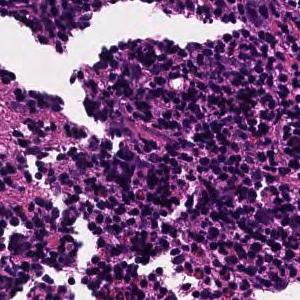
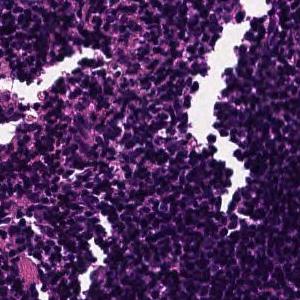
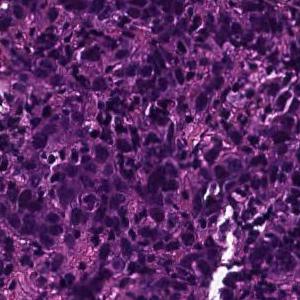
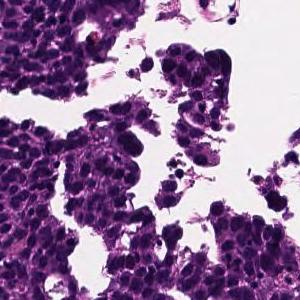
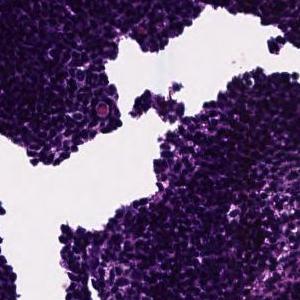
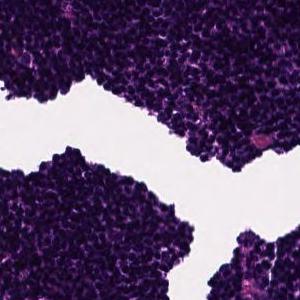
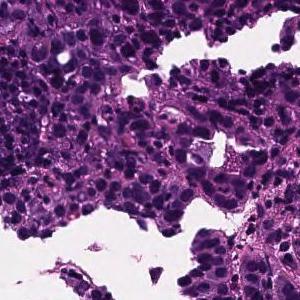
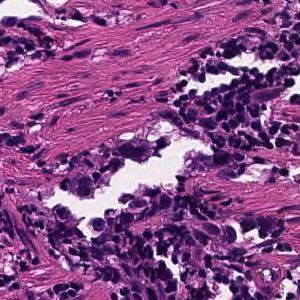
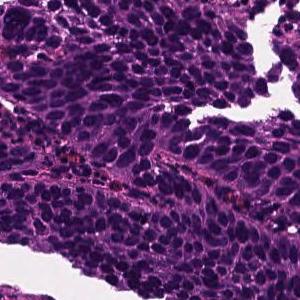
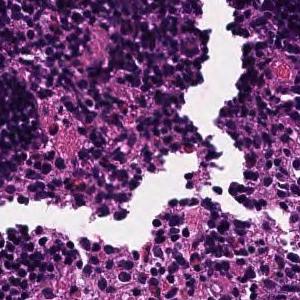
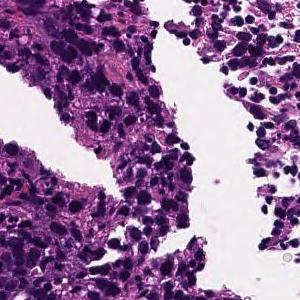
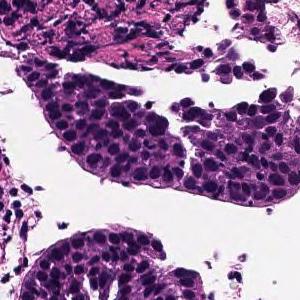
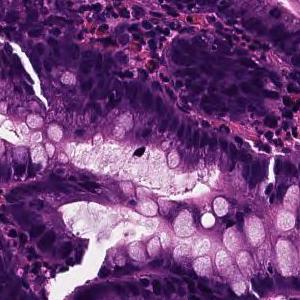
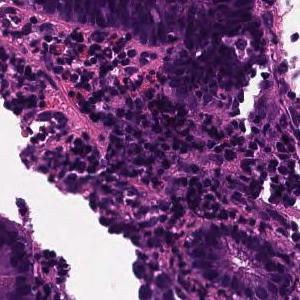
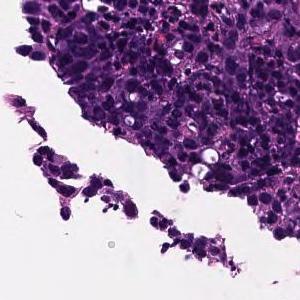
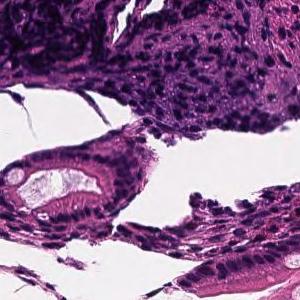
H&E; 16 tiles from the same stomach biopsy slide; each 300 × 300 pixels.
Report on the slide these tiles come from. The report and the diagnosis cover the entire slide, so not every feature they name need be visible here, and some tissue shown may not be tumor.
Tumor tissue consisting of cord-like or small, irregular glandular ducts fused and infiltrated is observed in the superficial epithelium. Poorly differentiated adenocarcinoma, non-solid type
The non-solid type named here is a Japanese Classification of Gastric Carcinoma category.
